12 image tiles from a single gastric biopsy slide, each 300 × 300 pixels, H&E.
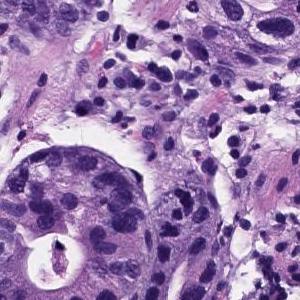
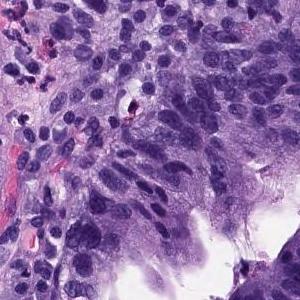
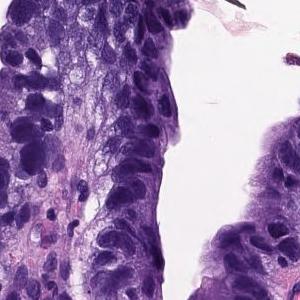
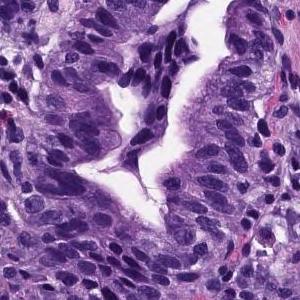
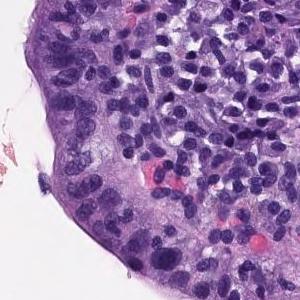
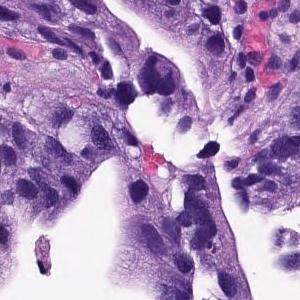
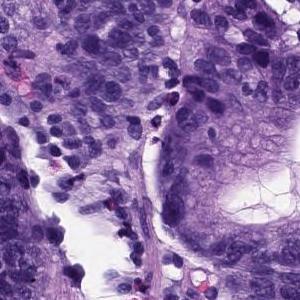
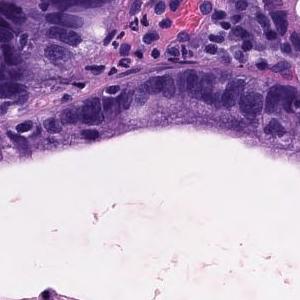
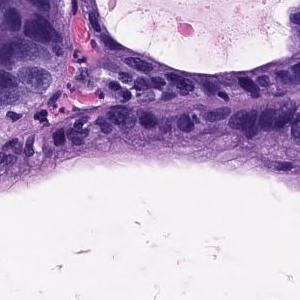
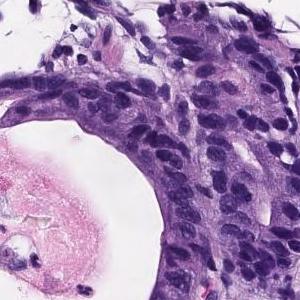
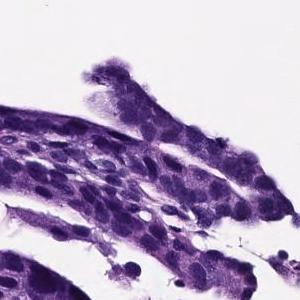
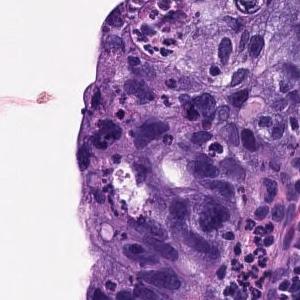
Report on the slide these tiles come from. Both the report and the diagnosis are for the whole slide: these tiles need not show every feature named, and some of the tissue shown may not be tumor.
There are atypical l cells with atypical nuclei forming irregular glandular ducts and growing in a complex manner. Well differentiated tubular adenocarcinoma
